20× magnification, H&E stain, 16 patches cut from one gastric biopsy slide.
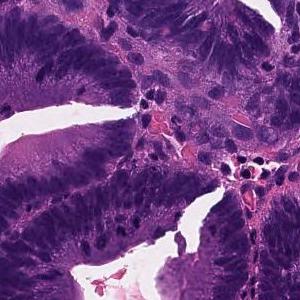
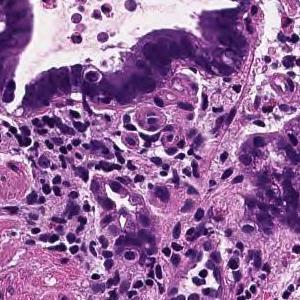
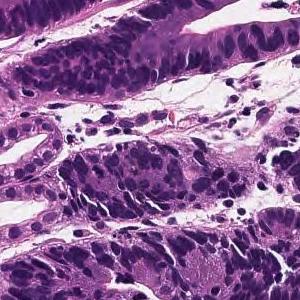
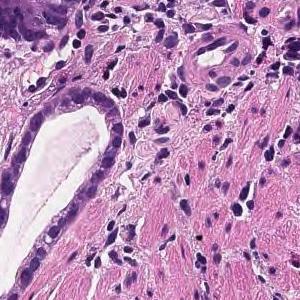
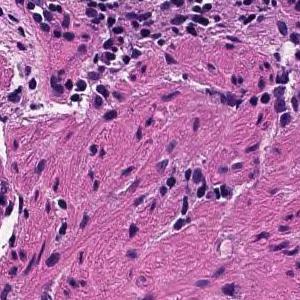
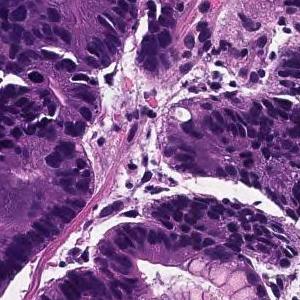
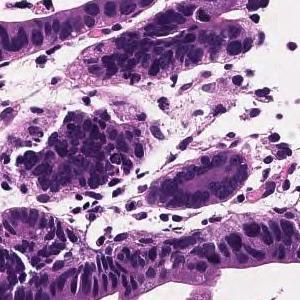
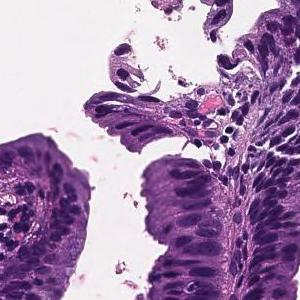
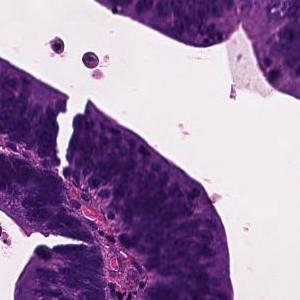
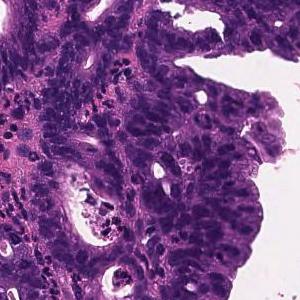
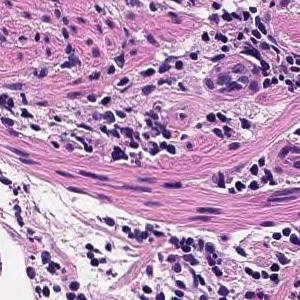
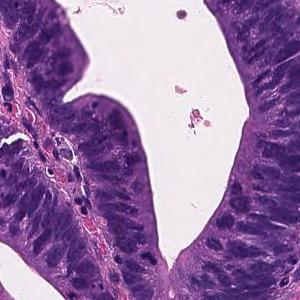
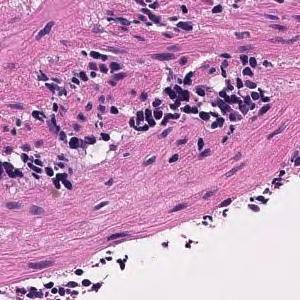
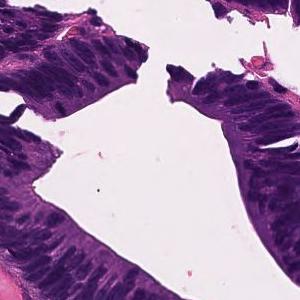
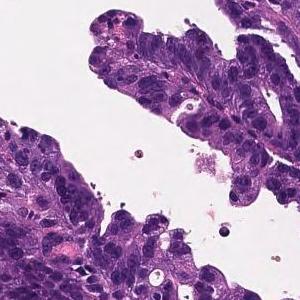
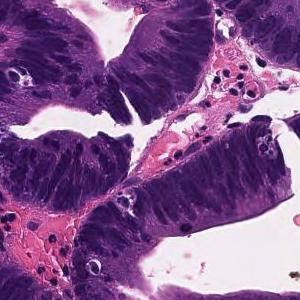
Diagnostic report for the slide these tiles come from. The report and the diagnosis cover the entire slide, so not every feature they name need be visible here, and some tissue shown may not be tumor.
Tumor tissue consisting of large papillary structures is found in the superficial epithelium. Papillary adenocarcinoma.
